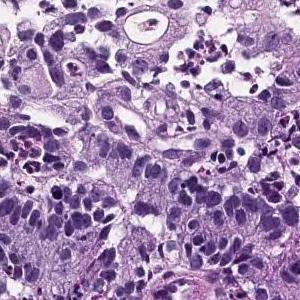
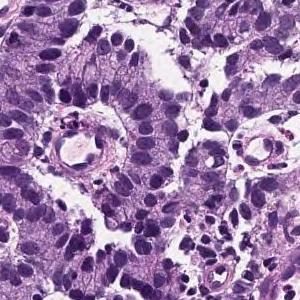
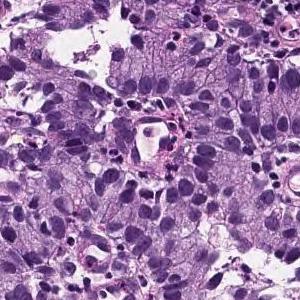
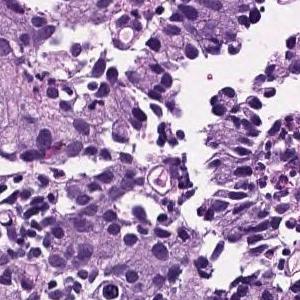
4 tiles cut from one stomach biopsy slide; 300 × 300 pixels each; hematoxylin and eosin stain; 20× magnification.
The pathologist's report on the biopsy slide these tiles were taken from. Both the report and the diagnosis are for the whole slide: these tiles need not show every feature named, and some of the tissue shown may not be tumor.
Tumor tissue infiltrated by irregular fusion of small cord-like structures is found in the superficial epithelium. Poorly differentiated adenocarcinoma, non-solid type
The non-solid type named here is a Japanese Classification of Gastric Carcinoma category.
